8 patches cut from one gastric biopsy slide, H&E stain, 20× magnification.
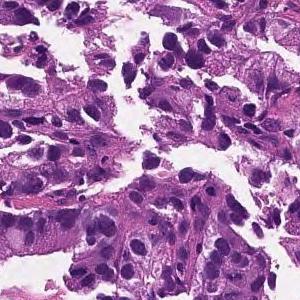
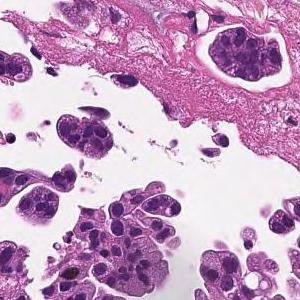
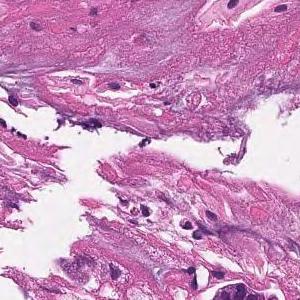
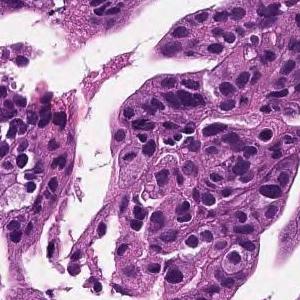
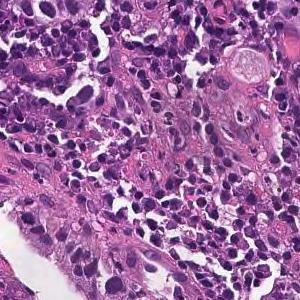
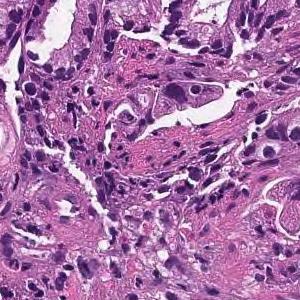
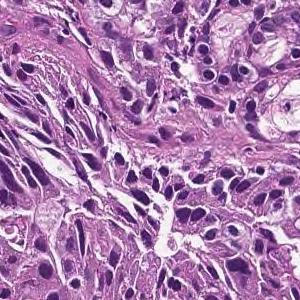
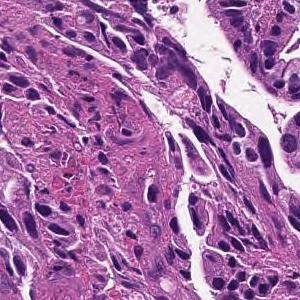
Pathology report for the biopsy slide these tiles were cut from. Both the report and the diagnosis are for the whole slide: these tiles need not show every feature named, and some of the tissue shown may not be tumor.
Medium to small, irregular glandular ducts are formed in the superficial epithelium, and in some cases, the glandular ducts are fused to show solid alveolar lesions and infiltrating tumor tissue is observed. Moderately to poorly differentiated adenocarcinoma.
